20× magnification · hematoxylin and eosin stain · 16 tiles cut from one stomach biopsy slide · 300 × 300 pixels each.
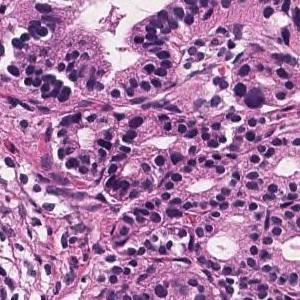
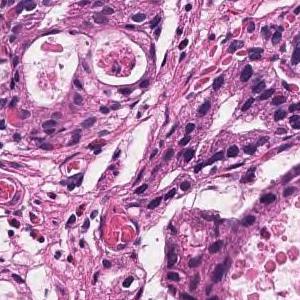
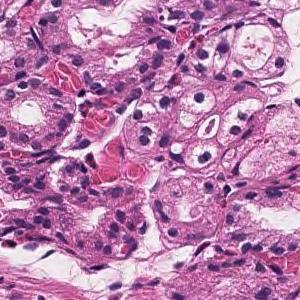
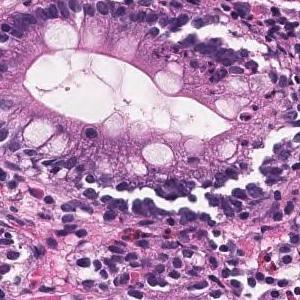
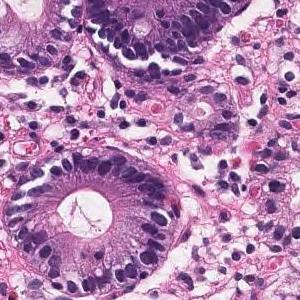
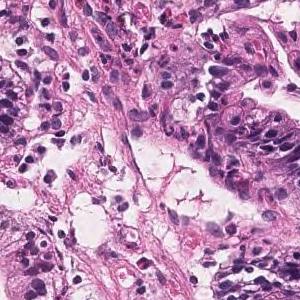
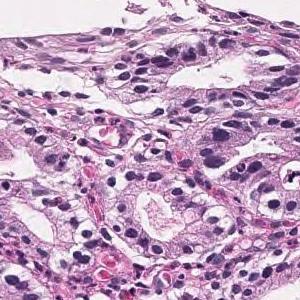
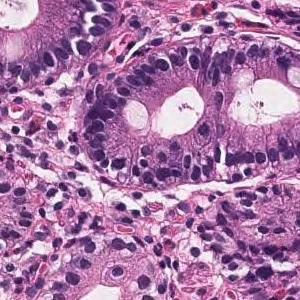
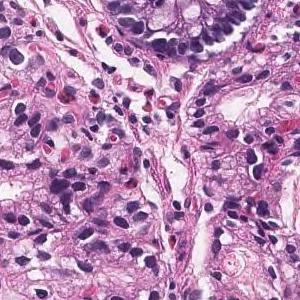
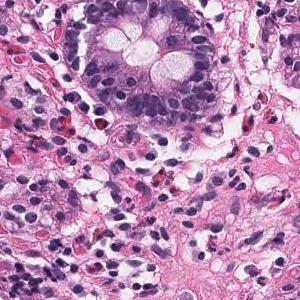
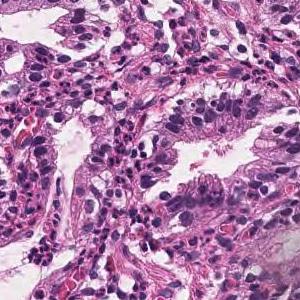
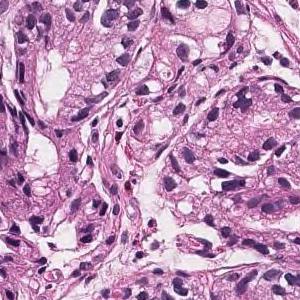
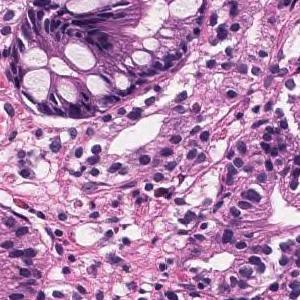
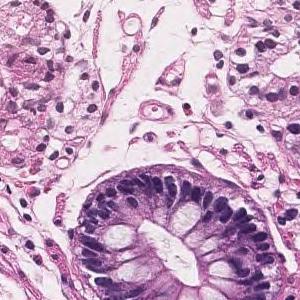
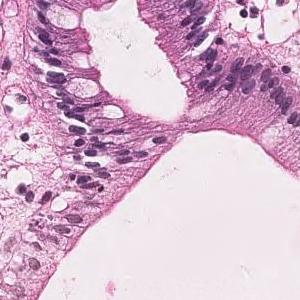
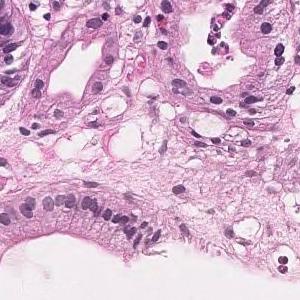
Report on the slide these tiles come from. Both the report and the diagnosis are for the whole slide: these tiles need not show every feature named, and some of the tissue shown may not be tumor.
On the superficial epithelium, tumor tissue consisting of large, irregular glandular ducts partially fused and infiltrated is observed. Well differentiated tubular adenocarcinoma
